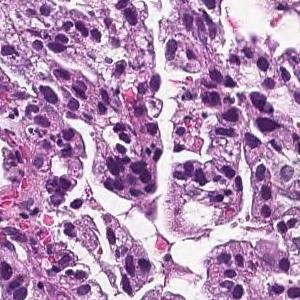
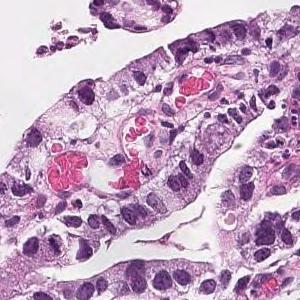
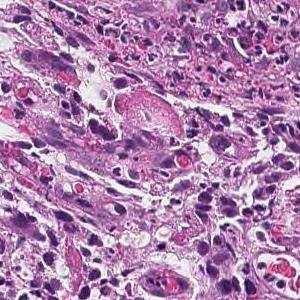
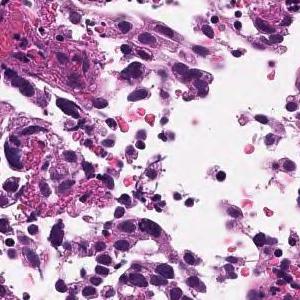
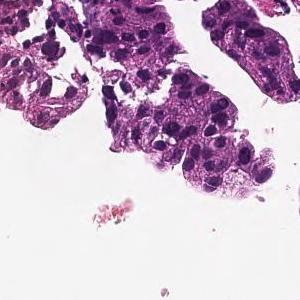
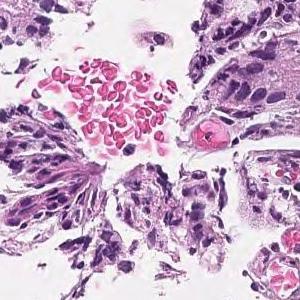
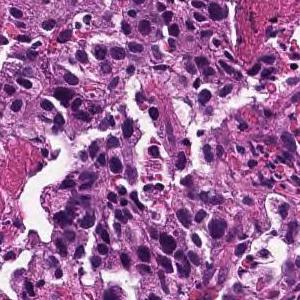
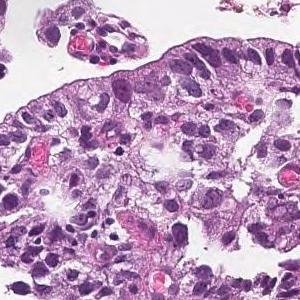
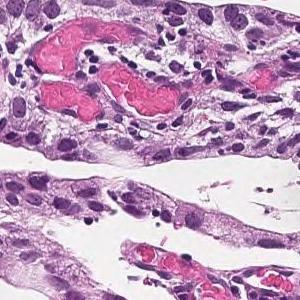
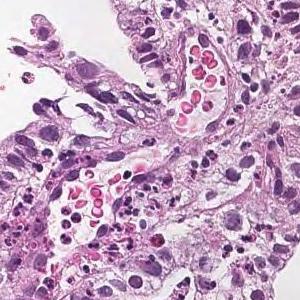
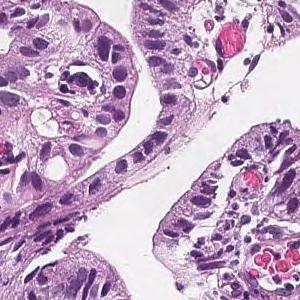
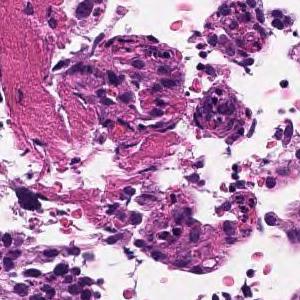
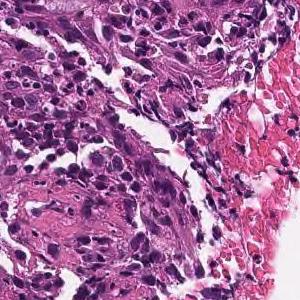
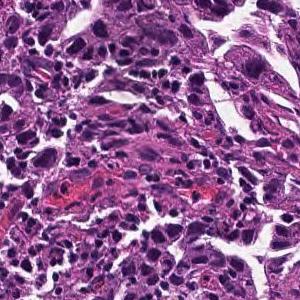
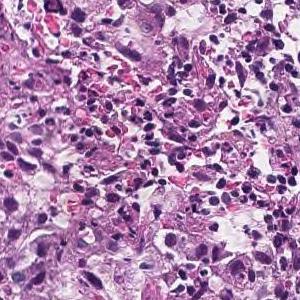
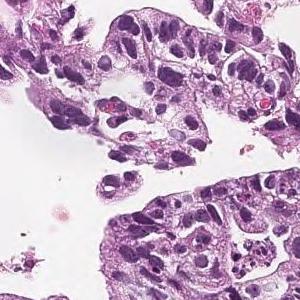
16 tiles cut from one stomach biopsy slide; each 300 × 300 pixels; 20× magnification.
Pathology report for the slide these tiles were cut from. The report and the diagnosis cover the entire slide, so not every feature they name need be visible here, and some tissue shown may not be tumor.
Tumor tissue consisting of medium-sized, cord-like or irregular glandular infiltration is observed in the superficial epithelium. Poorly differentiated adenocarcinoma, non-solid type or moderately differentiated tubular adenocarcinoma
Classified as moderately to poorly differentiated adenocarcinoma.
"Non-solid type" is a category of the Japanese Classification of Gastric Carcinoma.
